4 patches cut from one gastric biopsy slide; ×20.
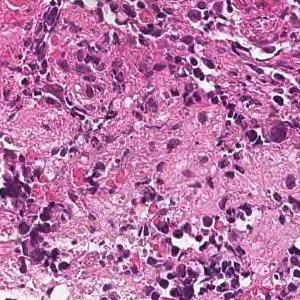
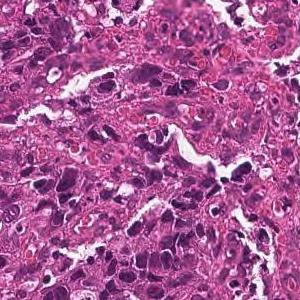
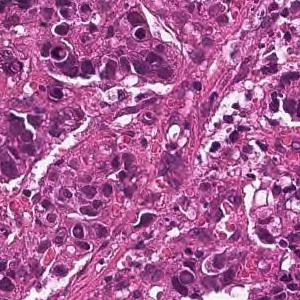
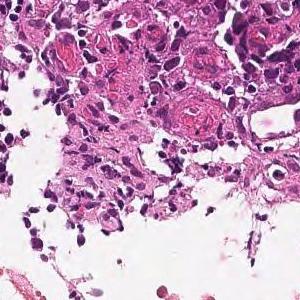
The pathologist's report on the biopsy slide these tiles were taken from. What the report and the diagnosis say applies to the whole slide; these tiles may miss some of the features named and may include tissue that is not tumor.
Tumor tissue consisting of medium-sized, cord-like or irregular glandular infiltration is observed in the superficial epithelium. Poorly differentiated adenocarcinoma, non-solid type or moderately differentiated tubular adenocarcinoma
Histological subtype: Moderately to poorly differentiated adenocarcinoma.
The term "non-solid type" comes from the Japanese Classification of Gastric Carcinoma.
